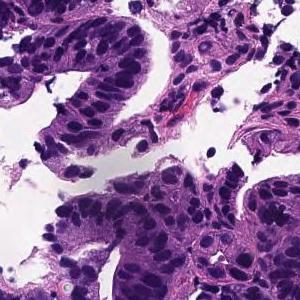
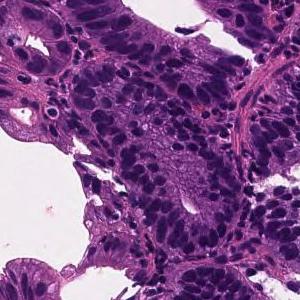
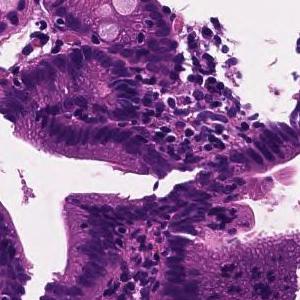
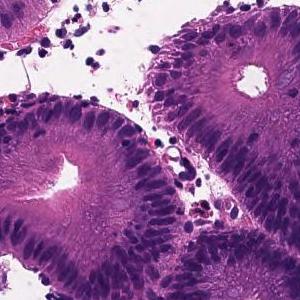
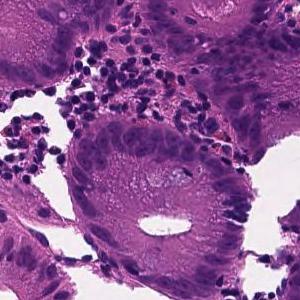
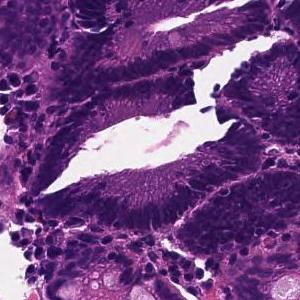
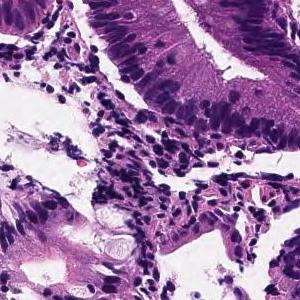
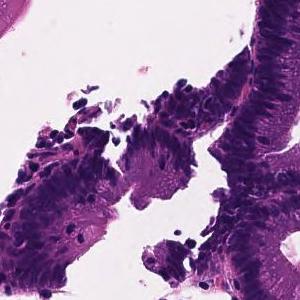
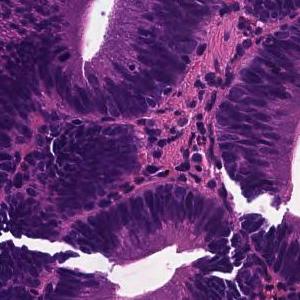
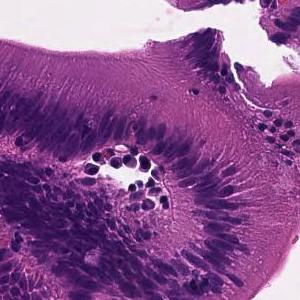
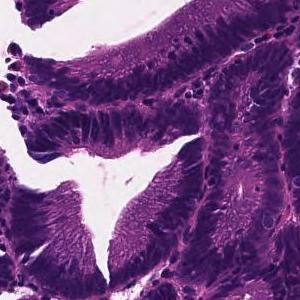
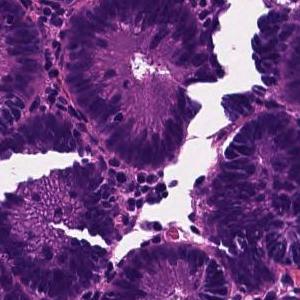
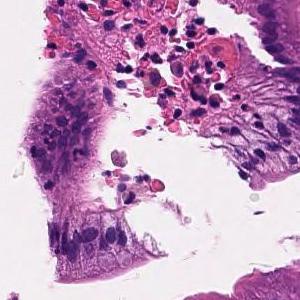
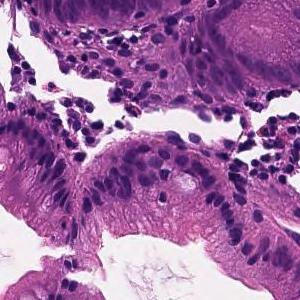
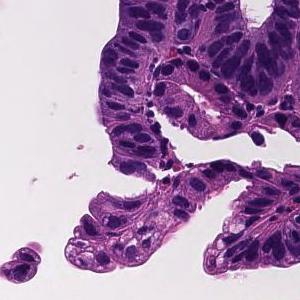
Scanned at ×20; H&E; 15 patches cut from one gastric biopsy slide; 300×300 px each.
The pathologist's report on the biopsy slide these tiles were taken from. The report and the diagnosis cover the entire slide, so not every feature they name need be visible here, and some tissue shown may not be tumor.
Tumor tissue in which medium to small irregular ducts infiltrate and proliferate in the submucosa can be seen in the epithelium. Well differentiated tubular adenocarcinoma
